H&E; 20× magnification; 10 image tiles from a single gastric biopsy slide; 300×300 px each.
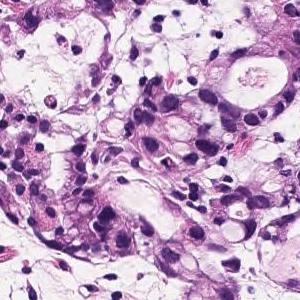
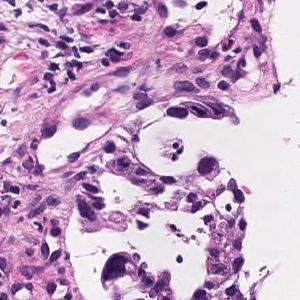
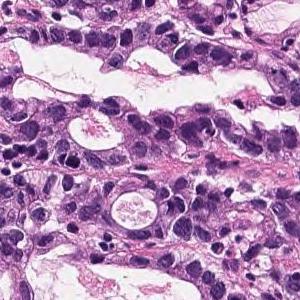
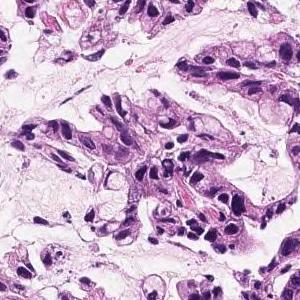
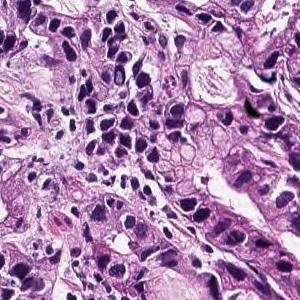
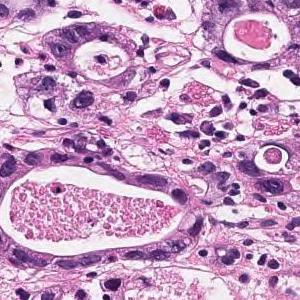
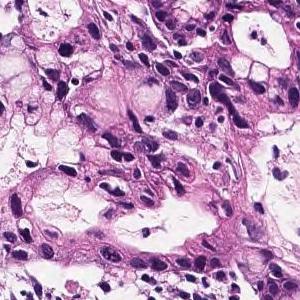
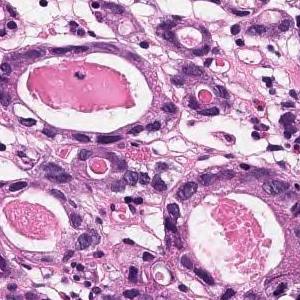
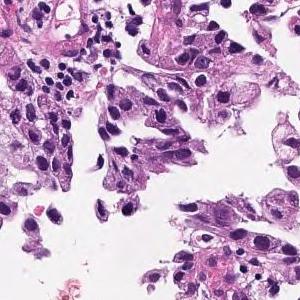
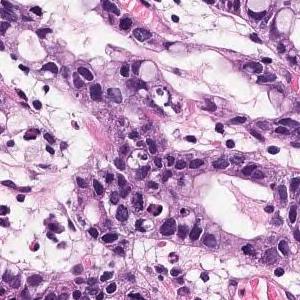
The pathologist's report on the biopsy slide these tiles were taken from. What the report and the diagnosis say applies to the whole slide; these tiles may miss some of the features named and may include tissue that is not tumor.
In the superficial epithelium, tumor tissue that invades by forming medium-sized to small, irregular ducts is observed. Moderately differentiated adenocarcinoma.
Histological subtype: Moderately differentiated tubular adenocarcinoma.
